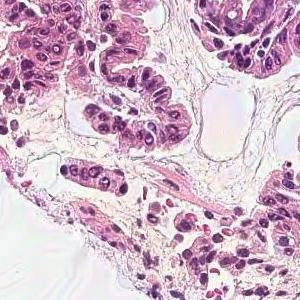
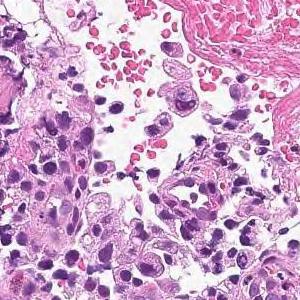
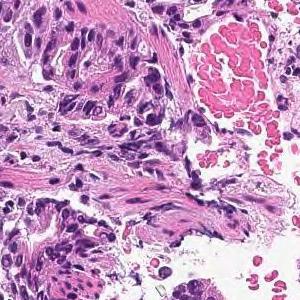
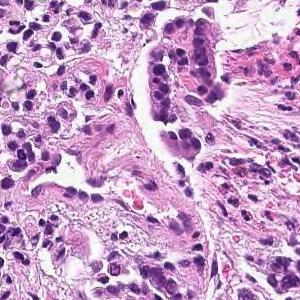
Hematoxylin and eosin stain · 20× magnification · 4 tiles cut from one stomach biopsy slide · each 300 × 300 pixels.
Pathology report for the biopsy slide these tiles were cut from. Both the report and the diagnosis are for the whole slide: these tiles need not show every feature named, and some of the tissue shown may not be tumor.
Tumor tissue consisting of medium-sized, cord-like or irregular glandular infiltration is observed in the superficial epithelium. Poorly differentiated adenocarcinoma, non-solid type or moderately differentiated tubular adenocarcinoma
Subtype: Moderately to poorly differentiated adenocarcinoma.
The term "non-solid type" comes from the Japanese Classification of Gastric Carcinoma.
